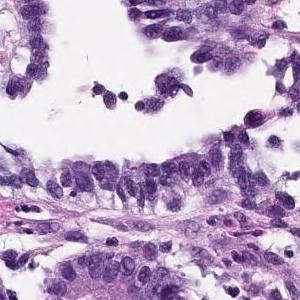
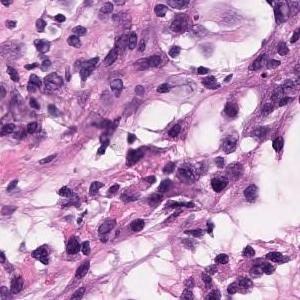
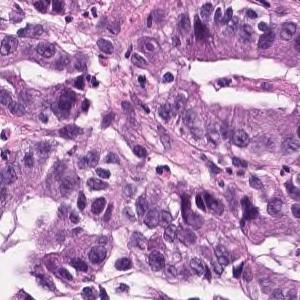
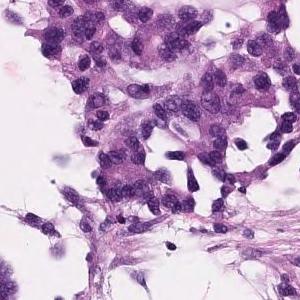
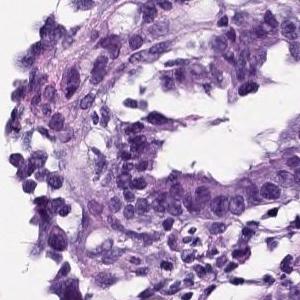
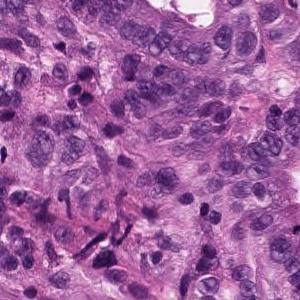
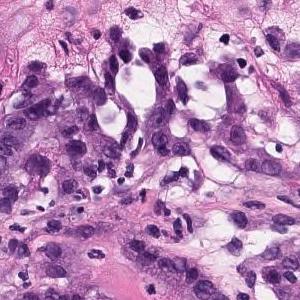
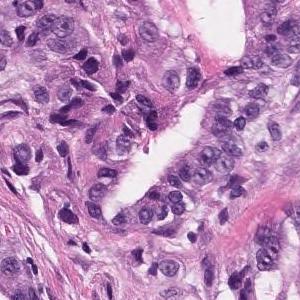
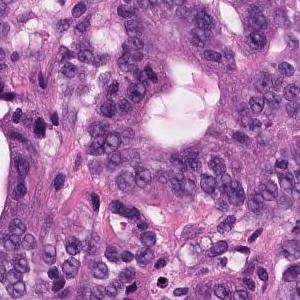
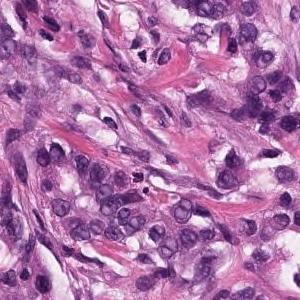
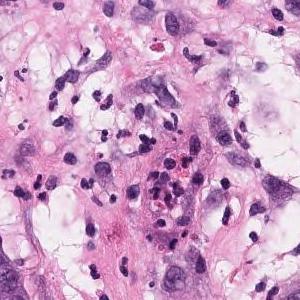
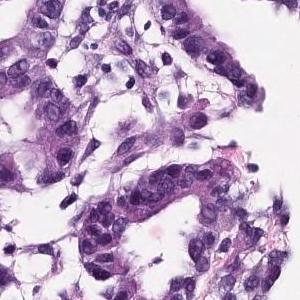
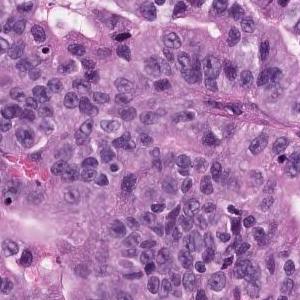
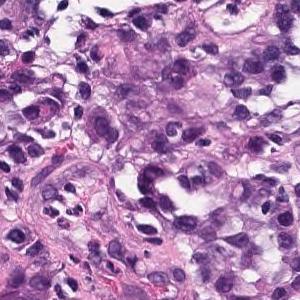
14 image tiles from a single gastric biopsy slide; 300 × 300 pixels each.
Pathology report for the biopsy slide these tiles were cut from. The findings and the diagnosis refer to the entire slide; these tiles show only part of it, possibly with non-tumor tissue, and may not show every feature named.
In the superficial epithelium, tumor tissue that invades by forming medium-sized to small, irregular ducts is observed. Moderately differentiated adenocarcinoma.
Subtype: Moderately differentiated tubular adenocarcinoma.
